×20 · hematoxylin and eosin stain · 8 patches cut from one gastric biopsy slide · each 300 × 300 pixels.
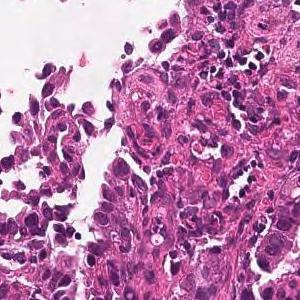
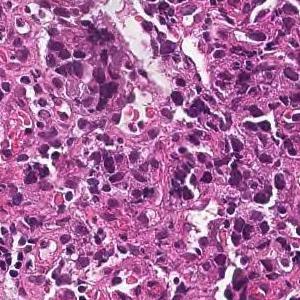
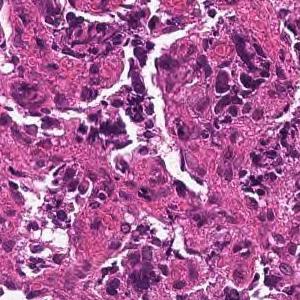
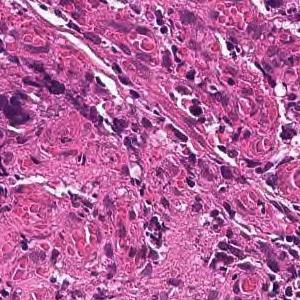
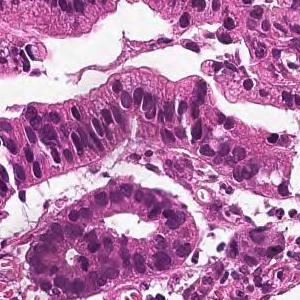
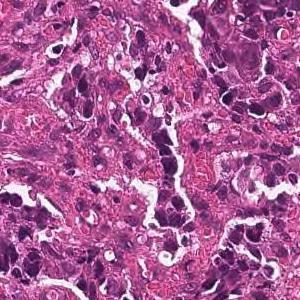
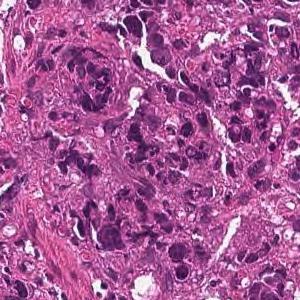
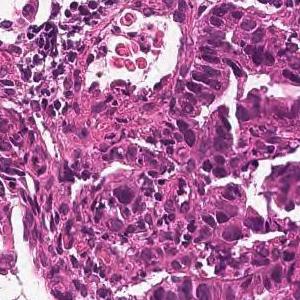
Pathology report for the slide these tiles were cut from. The report describes the whole slide, diagnosis included: not every finding it names need appear in these tiles, which may also show non-tumor tissue.
Tumor tissue consisting of medium-sized, cord-like or irregular glandular infiltration is observed in the superficial epithelium. Poorly differentiated adenocarcinoma, non-solid type or moderately differentiated tubular adenocarcinoma
Subtype: Moderately to poorly differentiated adenocarcinoma.
The term "non-solid type" comes from the Japanese Classification of Gastric Carcinoma.
